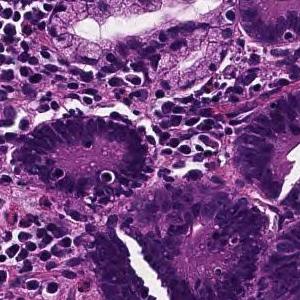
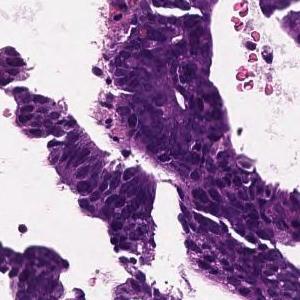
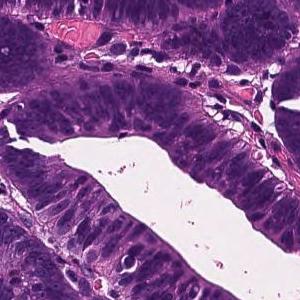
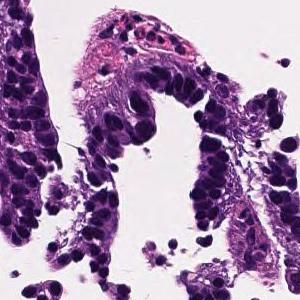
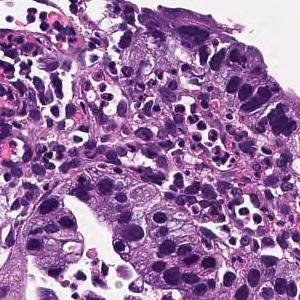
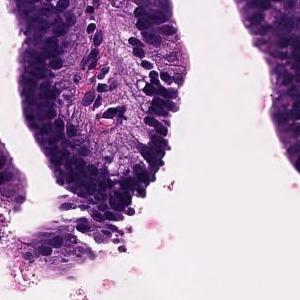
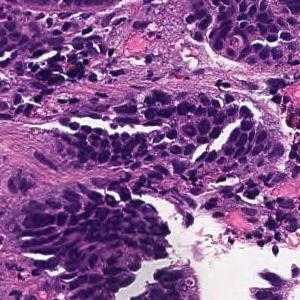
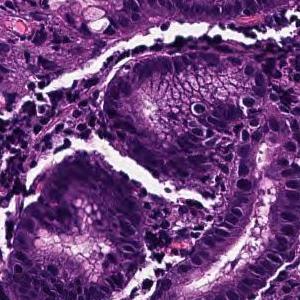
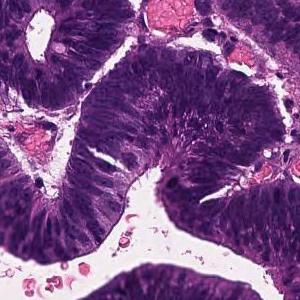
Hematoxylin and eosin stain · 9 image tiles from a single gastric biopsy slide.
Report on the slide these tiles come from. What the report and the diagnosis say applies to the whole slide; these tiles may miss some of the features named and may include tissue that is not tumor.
Tumor tissue consisting of large papillary structures is found in the superficial epithelium. Papillary adenocarcinoma.
